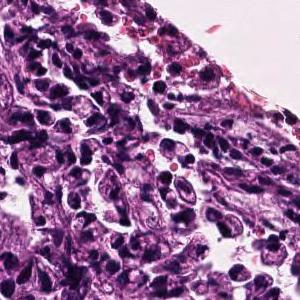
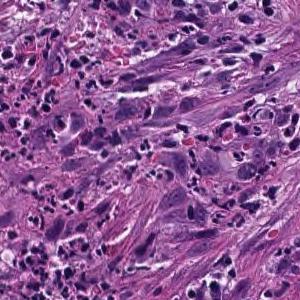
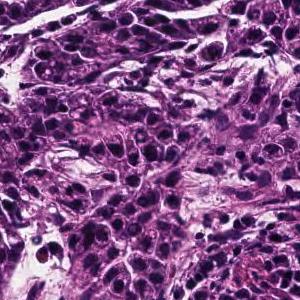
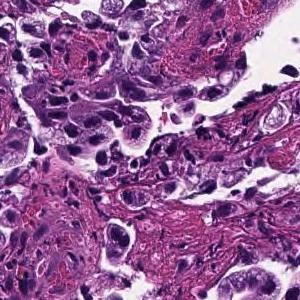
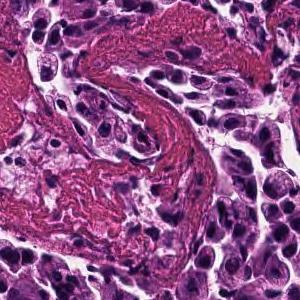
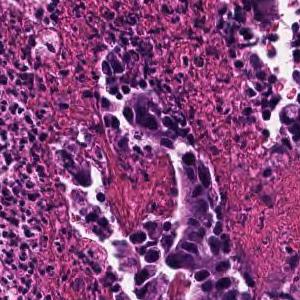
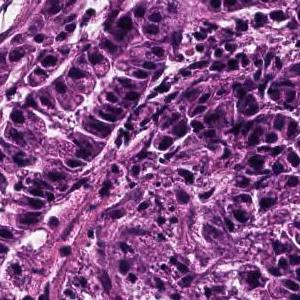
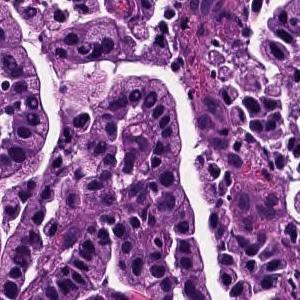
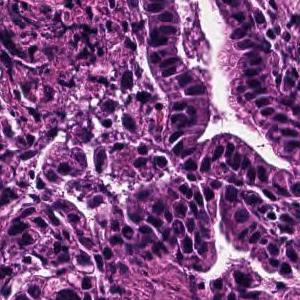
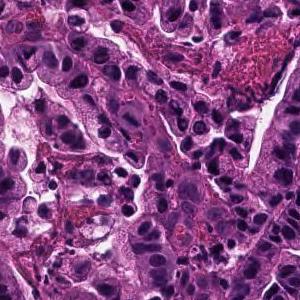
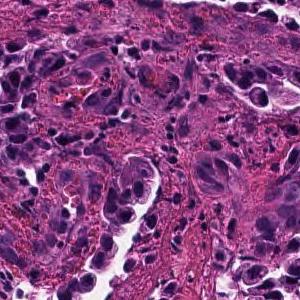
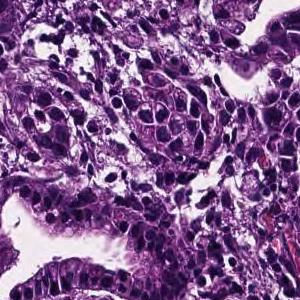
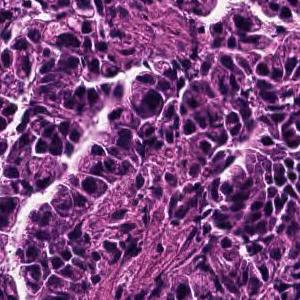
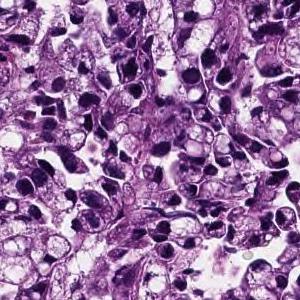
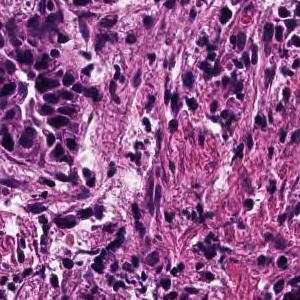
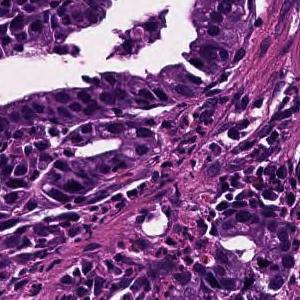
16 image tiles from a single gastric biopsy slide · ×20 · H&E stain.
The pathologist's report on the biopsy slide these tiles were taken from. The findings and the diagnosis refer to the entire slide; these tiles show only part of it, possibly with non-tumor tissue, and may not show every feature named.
Tumor cells are large, highly columnar, large club-shaped nuclei, and are associated with chromatin aggregation. Papillary adenocarcinoma.
